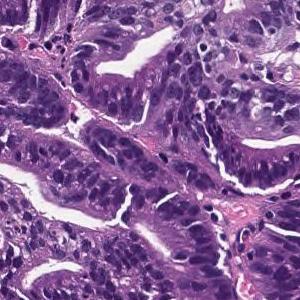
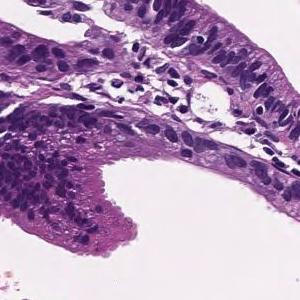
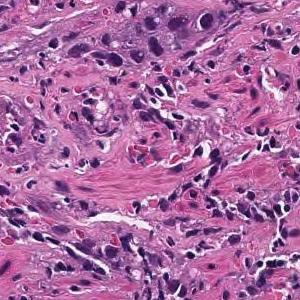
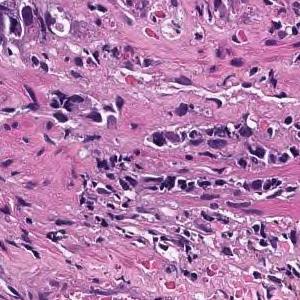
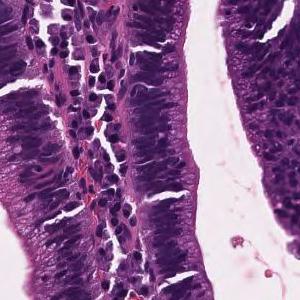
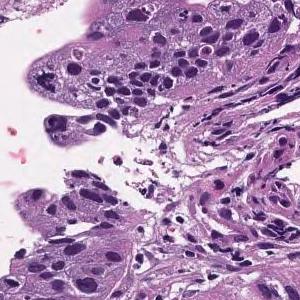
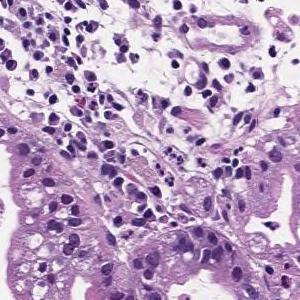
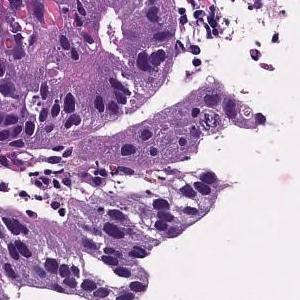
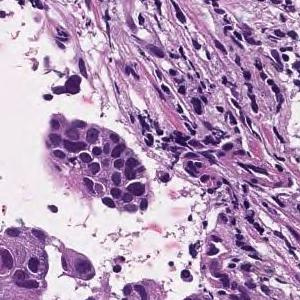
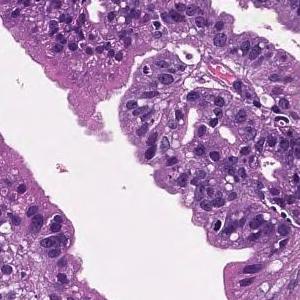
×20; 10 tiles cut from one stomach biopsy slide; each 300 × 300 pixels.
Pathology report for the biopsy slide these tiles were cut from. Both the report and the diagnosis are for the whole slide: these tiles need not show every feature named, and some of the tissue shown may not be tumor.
Tumor cells are large, highly columnar, large club-shaped nuclei, and are associated with chromatin aggregation. Papillary adenocarcinoma.
